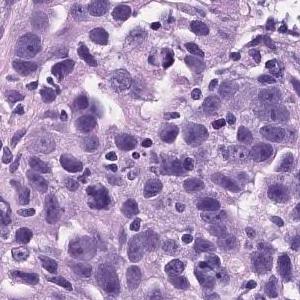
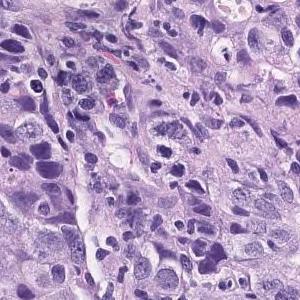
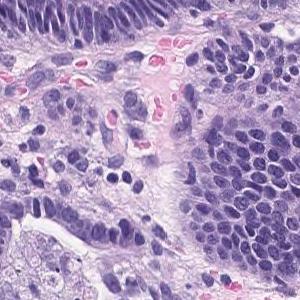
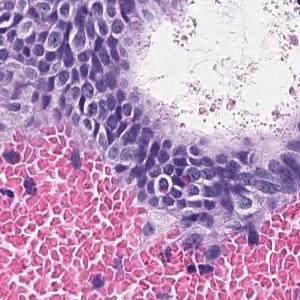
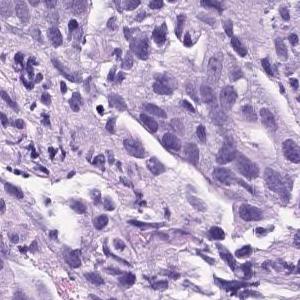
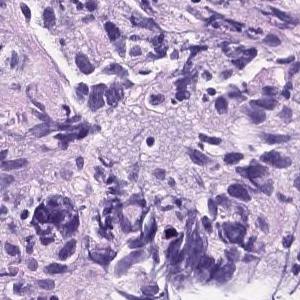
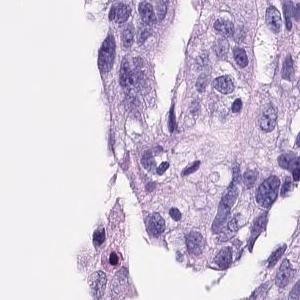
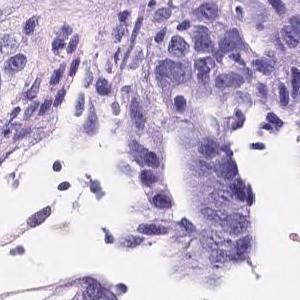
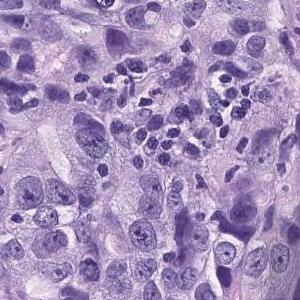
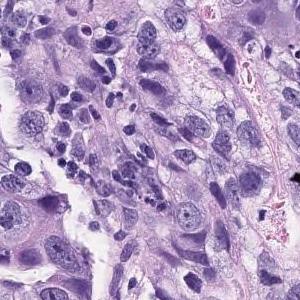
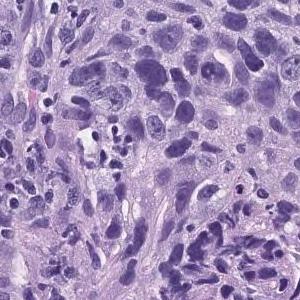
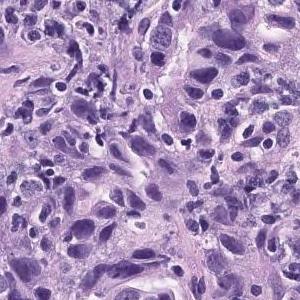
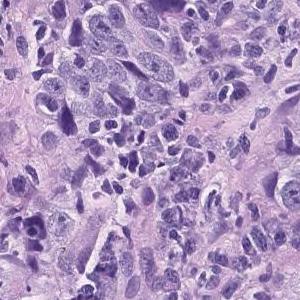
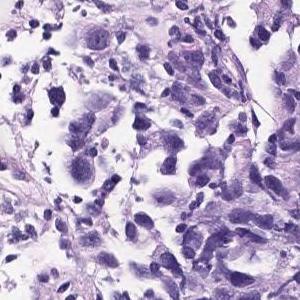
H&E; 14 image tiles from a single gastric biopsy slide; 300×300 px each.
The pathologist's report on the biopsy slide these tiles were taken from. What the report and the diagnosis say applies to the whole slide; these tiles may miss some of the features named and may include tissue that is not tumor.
The superficial epithelium shows a large sheet-like shape, and some tumor tissue infiltrates with small irregular ducts. Poorly differentiated adenocarcinoma, solid-type
Tumor subtype: poorly differentiated adenocarcinoma, solid type, a category of the Japanese Classification of Gastric Carcinoma; in the WHO 2019 classification it is tubular adenocarcinoma, poorly differentiated.
